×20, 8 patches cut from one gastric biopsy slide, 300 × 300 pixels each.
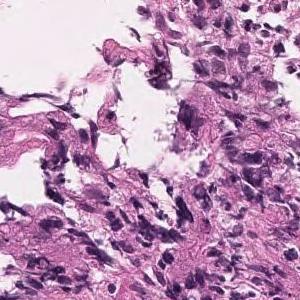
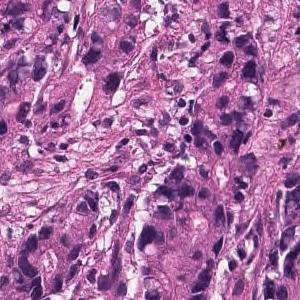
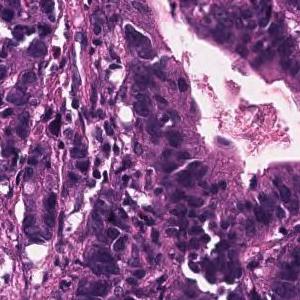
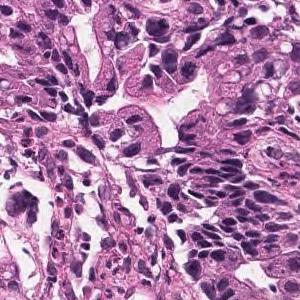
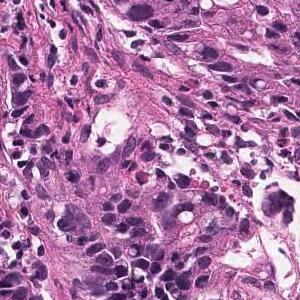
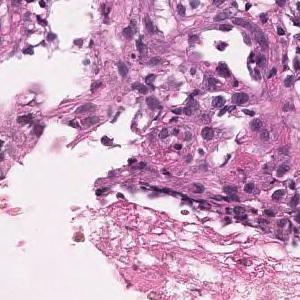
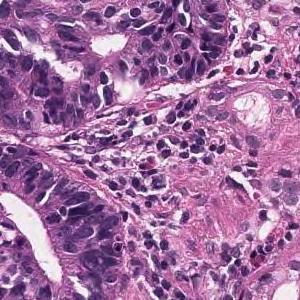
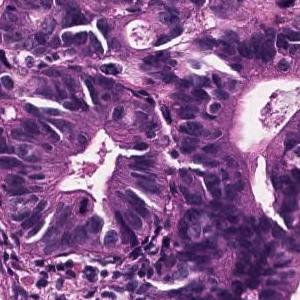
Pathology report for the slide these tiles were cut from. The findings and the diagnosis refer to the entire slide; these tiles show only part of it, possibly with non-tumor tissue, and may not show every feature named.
In the superficial epithelium, tumor tissue is found in which medium-sized irregular gland ducts fuse with each other and infiltrate. moderately differentiated tubular adenocarcinoma
